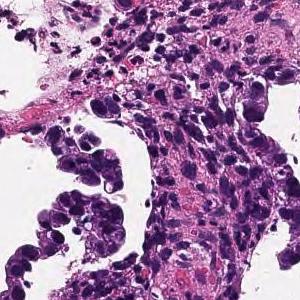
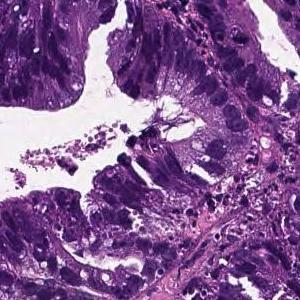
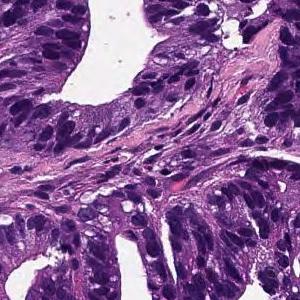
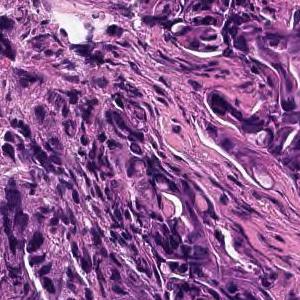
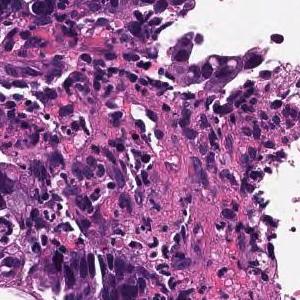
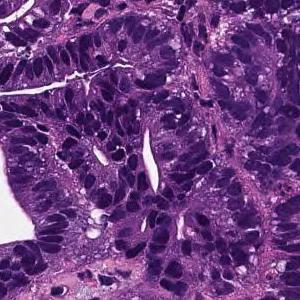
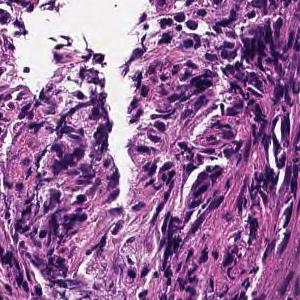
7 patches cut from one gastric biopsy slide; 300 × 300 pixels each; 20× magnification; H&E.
Diagnostic report for the slide these tiles come from. The report describes the whole slide, diagnosis included: not every finding it names need appear in these tiles, which may also show non-tumor tissue.
Tumor cells are large, highly columnar, large club-shaped nuclei, and are associated with chromatin aggregation. Papillary adenocarcinoma.
